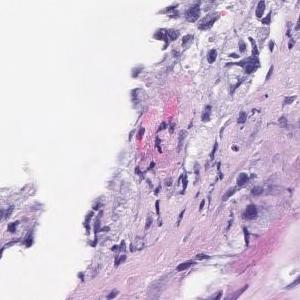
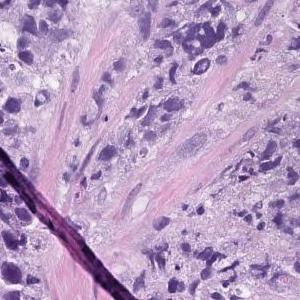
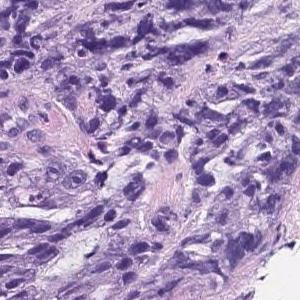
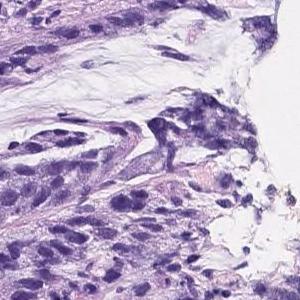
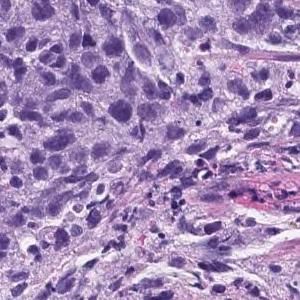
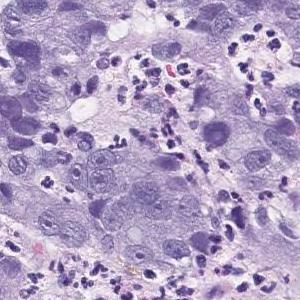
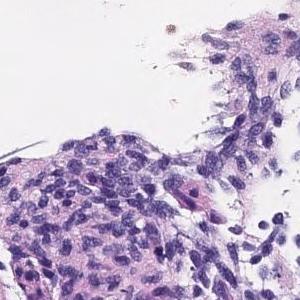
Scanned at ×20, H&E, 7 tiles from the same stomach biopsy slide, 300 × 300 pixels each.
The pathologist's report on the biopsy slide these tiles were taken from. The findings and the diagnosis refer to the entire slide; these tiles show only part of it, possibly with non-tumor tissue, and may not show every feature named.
Atypical l cells with atypical nuclei forming solid vesicles or small irregular atypical ducts that proliferate in a complex manner. poorly differentiated adenocarcinoma, solid type, moderately differentiated tubular adenocarcinoma
"Solid type" is a category of the Japanese Classification of Gastric Carcinoma; in the WHO 2019 classification it is tubular adenocarcinoma, poorly differentiated.
